20× magnification; H&E; 4 tiles from the same stomach biopsy slide; 300 × 300 pixels each.
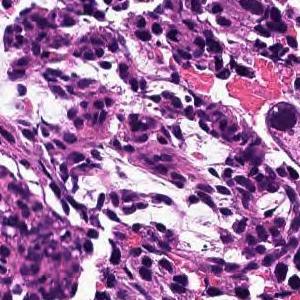
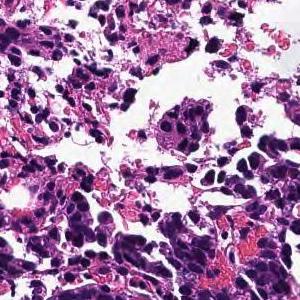
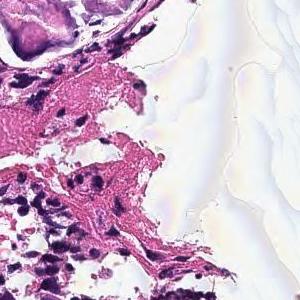
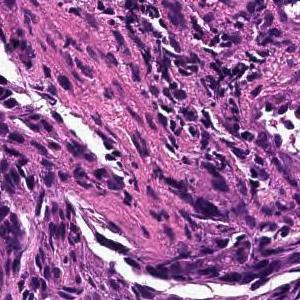
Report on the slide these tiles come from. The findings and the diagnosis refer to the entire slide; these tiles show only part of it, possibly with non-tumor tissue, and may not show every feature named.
In the superficial epithelium, tumor tissue that invades by forming medium-sized to small, irregular ducts is observed. moderately differentiated tubular adenocarcinoma.
